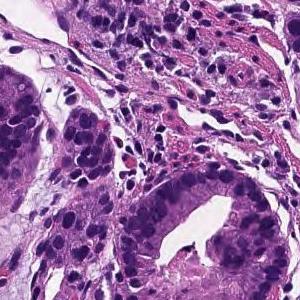
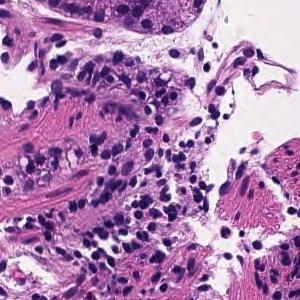
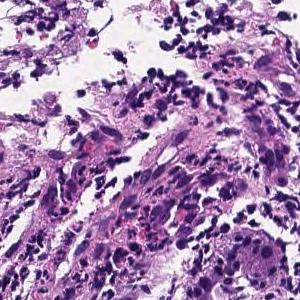
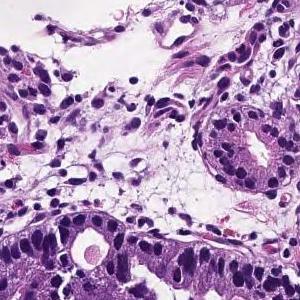
4 tiles cut from one stomach biopsy slide.
The pathologist's report on the biopsy slide these tiles were taken from. What the report and the diagnosis say applies to the whole slide; these tiles may miss some of the features named and may include tissue that is not tumor.
From the superficial epithelium to the muscularis mucosae, tumor tissue consisting of medium-sized and irregular glandular ducts infiltrating is observed. Well differentiated tubular adenocarcinoma
